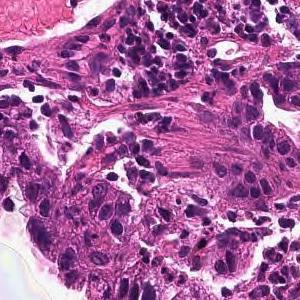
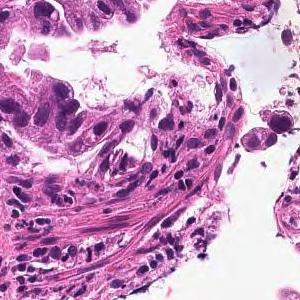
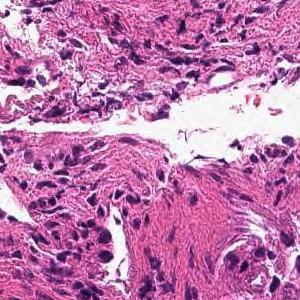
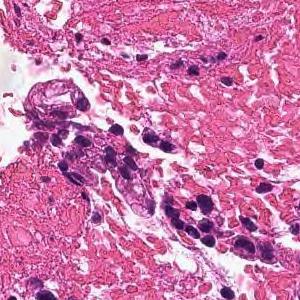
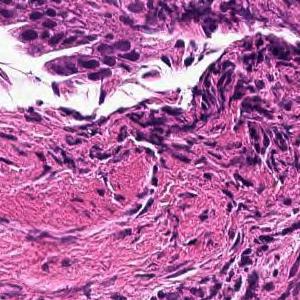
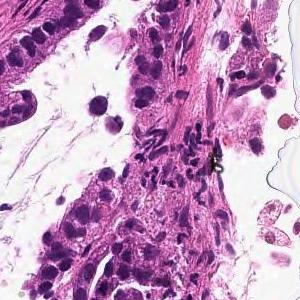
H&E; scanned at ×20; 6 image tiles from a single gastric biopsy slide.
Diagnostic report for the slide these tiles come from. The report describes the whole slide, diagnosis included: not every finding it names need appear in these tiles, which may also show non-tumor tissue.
From the superficial epithelium to the muscularis mucosae, tumor tissue infiltrating by forming medium-sized irregular gland ducts is observed. Well differentiated tubular adenocarcinoma
